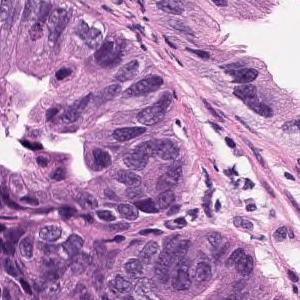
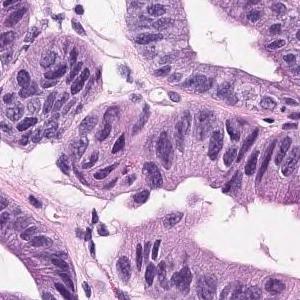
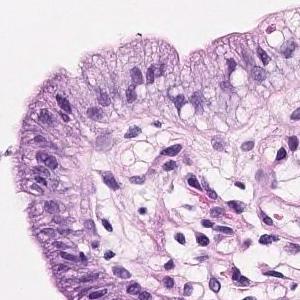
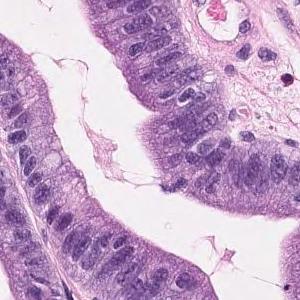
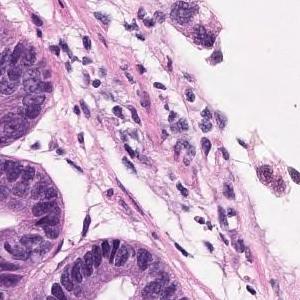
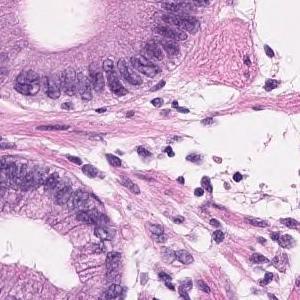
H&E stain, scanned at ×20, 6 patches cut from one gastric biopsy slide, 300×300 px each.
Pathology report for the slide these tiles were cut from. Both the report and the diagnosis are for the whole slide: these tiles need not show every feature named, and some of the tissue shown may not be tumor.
Atypical ducts that branch intricately are observed. Well differentiated tubular adenocarcinoma
